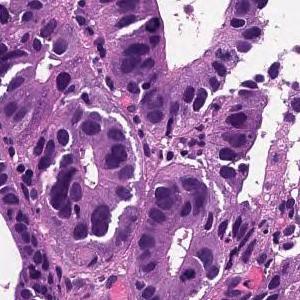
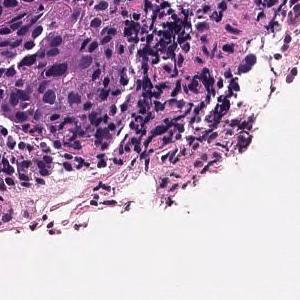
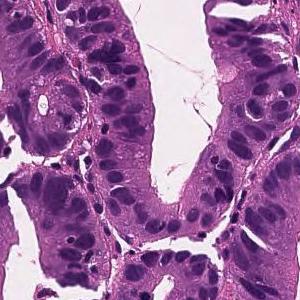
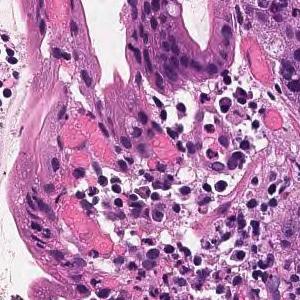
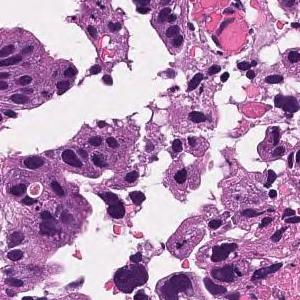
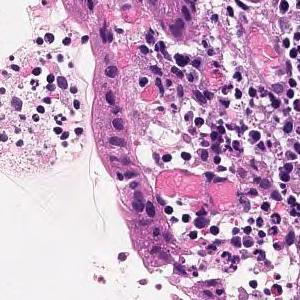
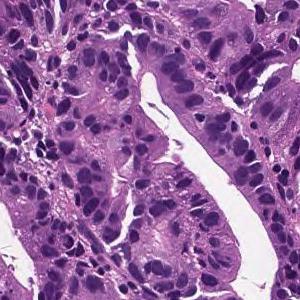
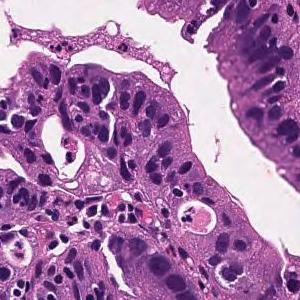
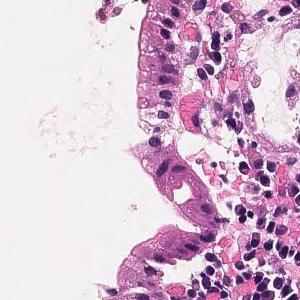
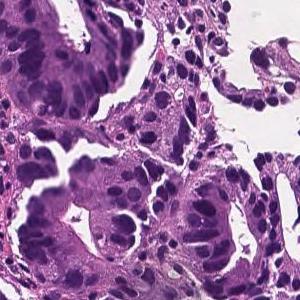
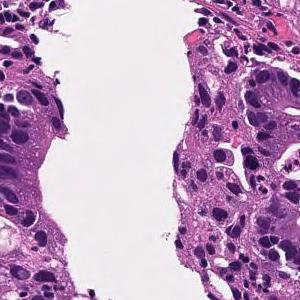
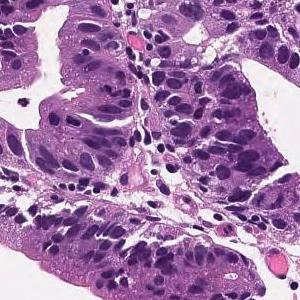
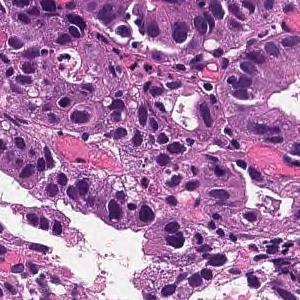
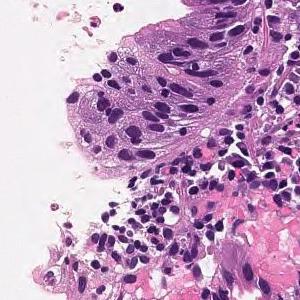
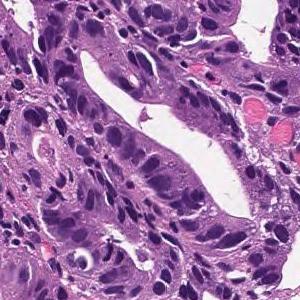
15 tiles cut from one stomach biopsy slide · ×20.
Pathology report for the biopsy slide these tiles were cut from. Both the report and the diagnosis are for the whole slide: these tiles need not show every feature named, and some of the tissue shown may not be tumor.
From the superficial epithelium to the muscularis mucosae, tumor tissue consisting of medium-sized and irregular glandular ducts infiltrating is observed. Well differentiated tubular adenocarcinoma
